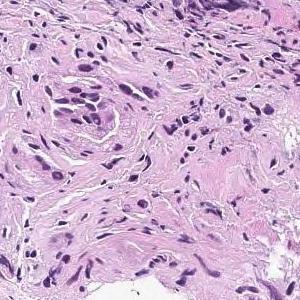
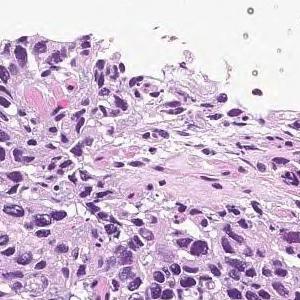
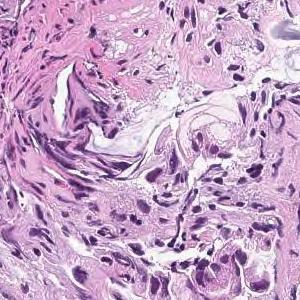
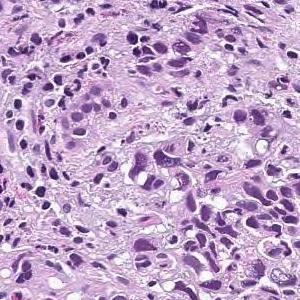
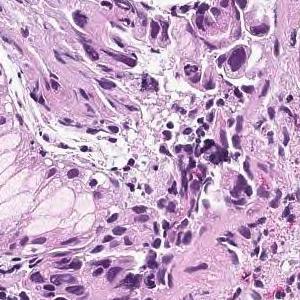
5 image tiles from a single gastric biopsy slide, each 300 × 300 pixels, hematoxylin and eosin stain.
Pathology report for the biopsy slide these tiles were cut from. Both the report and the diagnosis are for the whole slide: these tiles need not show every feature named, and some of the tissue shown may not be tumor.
Tumor tissue consisting of cord-like or small, irregular glandular ducts fused and infiltrated is observed in the superficial epithelium. Poorly differentiated adenocarcinoma, non-solid type
The term "non-solid type" comes from the Japanese Classification of Gastric Carcinoma.
